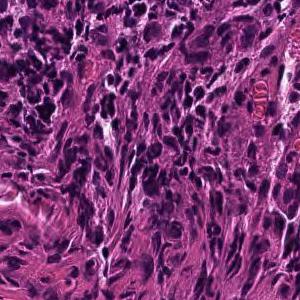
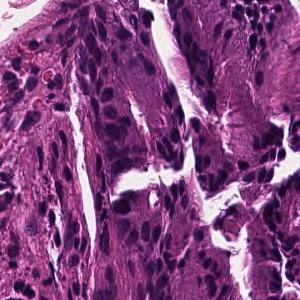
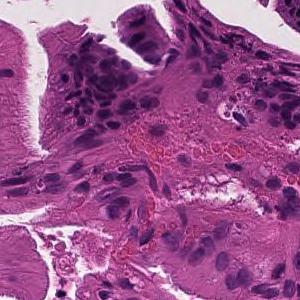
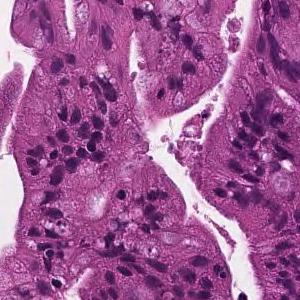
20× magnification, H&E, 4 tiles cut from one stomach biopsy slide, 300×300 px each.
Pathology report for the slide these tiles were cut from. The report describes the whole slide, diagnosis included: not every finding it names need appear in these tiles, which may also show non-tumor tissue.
Tumor cells are large, highly columnar, large club-shaped nuclei, and are associated with chromatin aggregation. Papillary adenocarcinoma.
